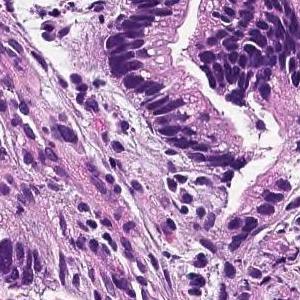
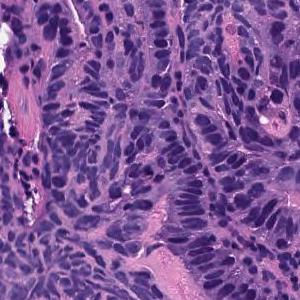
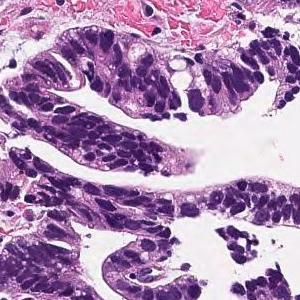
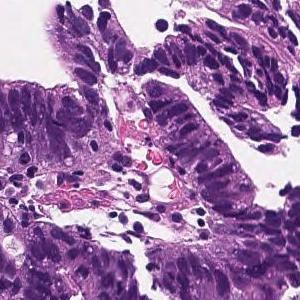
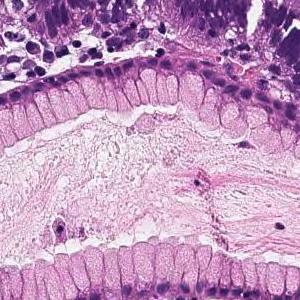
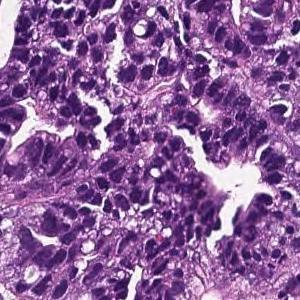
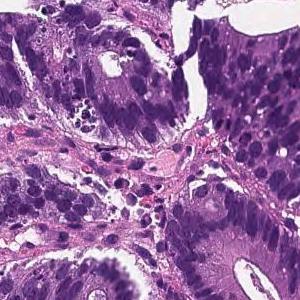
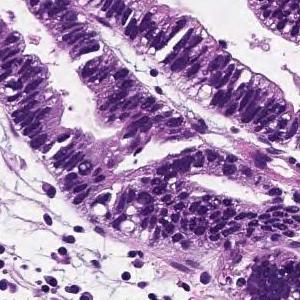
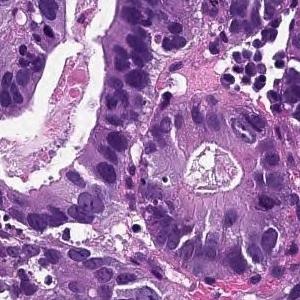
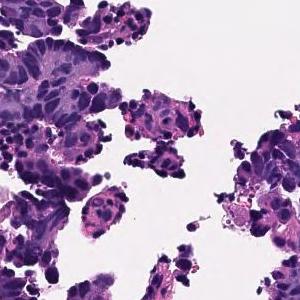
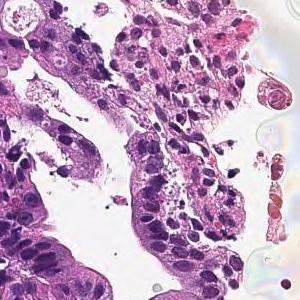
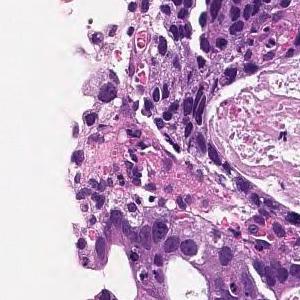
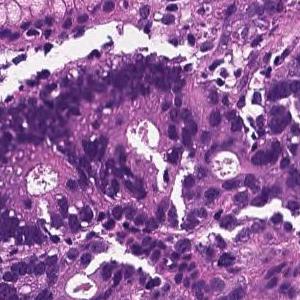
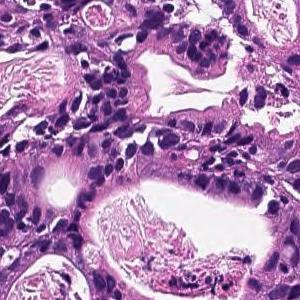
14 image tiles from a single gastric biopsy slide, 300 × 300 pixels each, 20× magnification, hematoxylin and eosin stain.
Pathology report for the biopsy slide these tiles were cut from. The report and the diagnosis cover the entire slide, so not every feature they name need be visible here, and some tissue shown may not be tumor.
In the superficial epithelium, tumor tissue that invades by forming medium-sized to small, irregular ducts is observed. moderately differentiated tubular adenocarcinoma.
